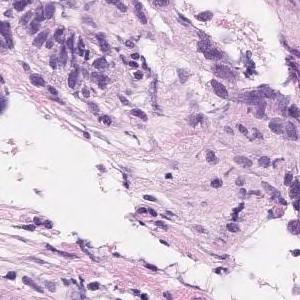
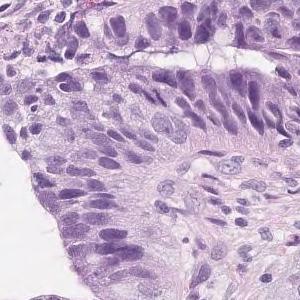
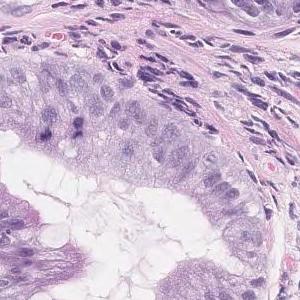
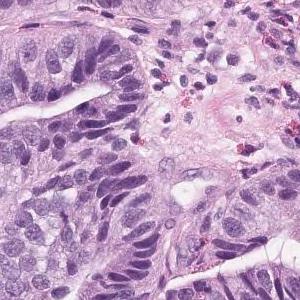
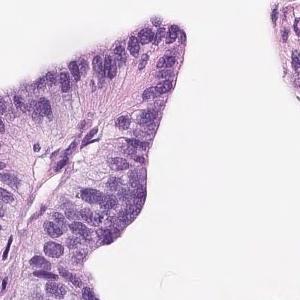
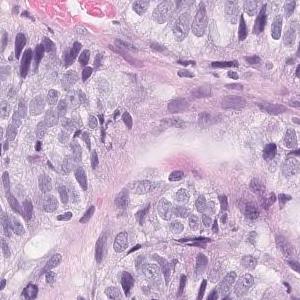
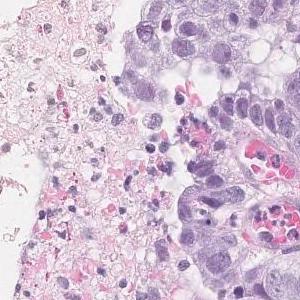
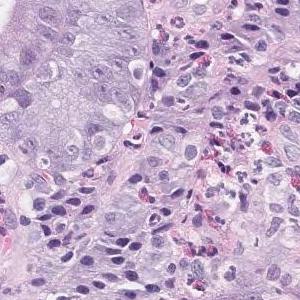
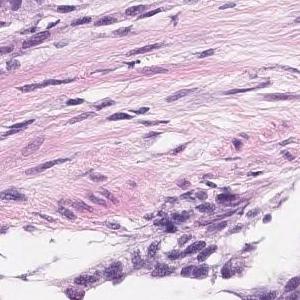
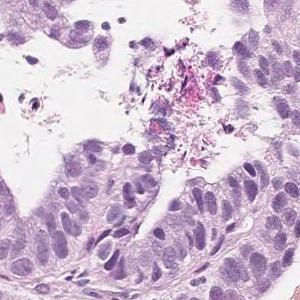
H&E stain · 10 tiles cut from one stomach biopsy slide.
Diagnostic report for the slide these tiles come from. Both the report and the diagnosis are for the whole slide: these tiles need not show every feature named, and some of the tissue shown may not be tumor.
Tumor tissue in which highly columnar atypical epithelial cells with nuclear enlargement and increased nuclear chromatin show papillary to papillary ductal structure and proliferate is observed. Papillary adenocarcinoma.
